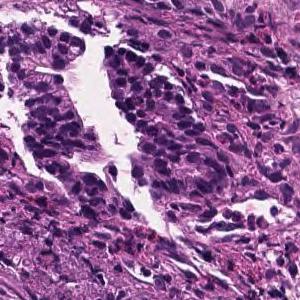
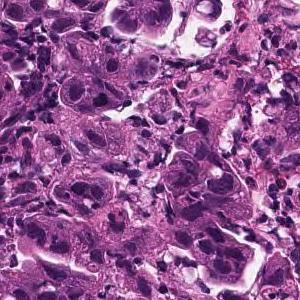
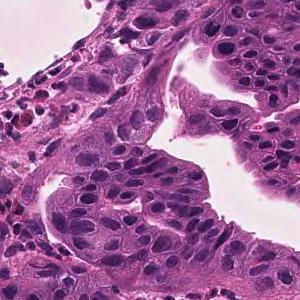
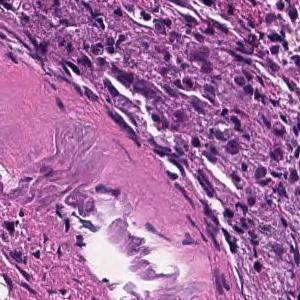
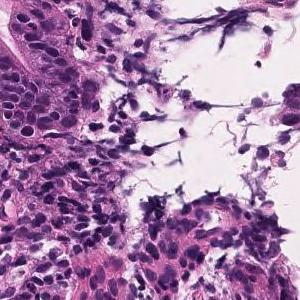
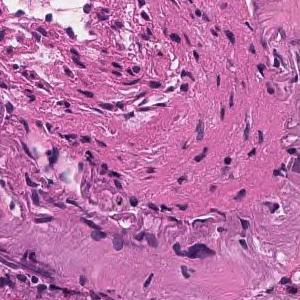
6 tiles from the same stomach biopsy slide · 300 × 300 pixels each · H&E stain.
Pathology report for the slide these tiles were cut from. The report and the diagnosis describe the slide as a whole, so these tiles may not show every feature named and may include non-tumor tissue.
Tumor tissue consisting of medium-sized, cord-like or irregular glandular infiltration is observed in the superficial epithelium. Poorly differentiated adenocarcinoma, non-solid type or moderately differentiated tubular adenocarcinoma
The non-solid type named here is a Japanese Classification of Gastric Carcinoma category.
